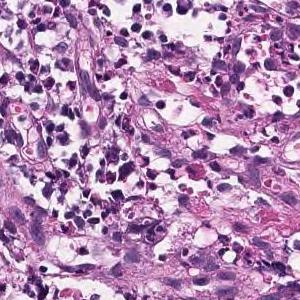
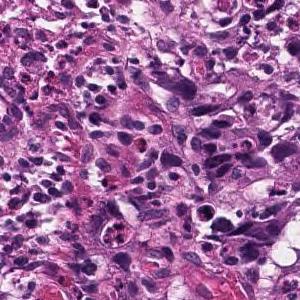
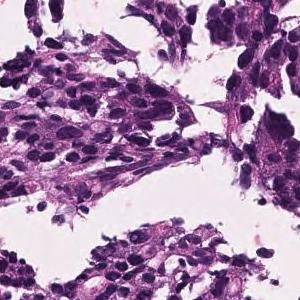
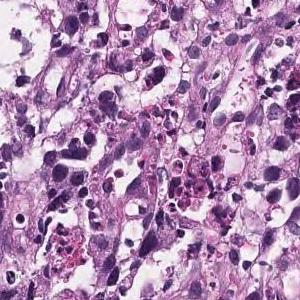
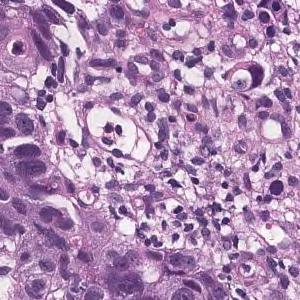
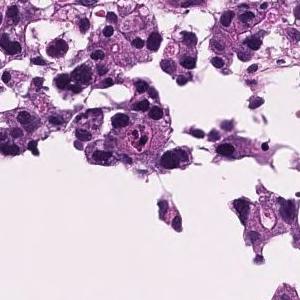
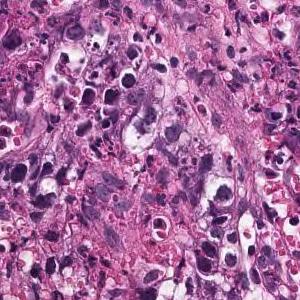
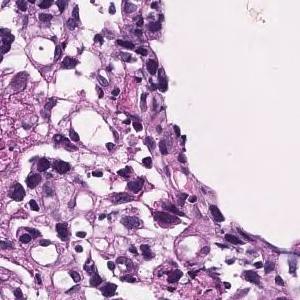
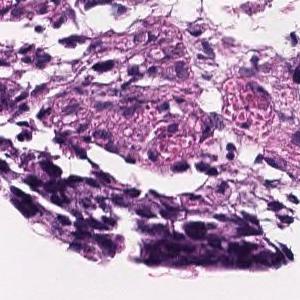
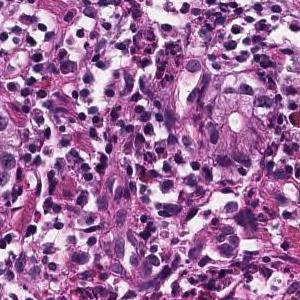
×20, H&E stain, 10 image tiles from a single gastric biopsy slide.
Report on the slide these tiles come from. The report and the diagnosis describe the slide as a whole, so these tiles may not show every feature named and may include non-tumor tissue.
Tumor tissue consisting of medium-sized, cord-like or irregular glandular infiltration is observed in the superficial epithelium. Poorly differentiated adenocarcinoma, non-solid type or moderately differentiated tubular adenocarcinoma
The non-solid type named here is a Japanese Classification of Gastric Carcinoma category.
